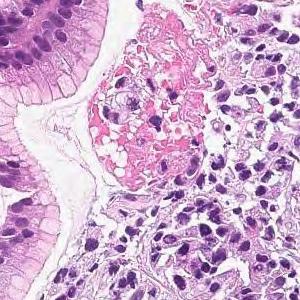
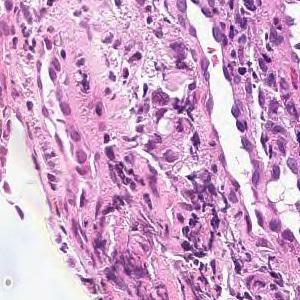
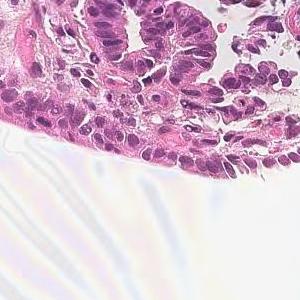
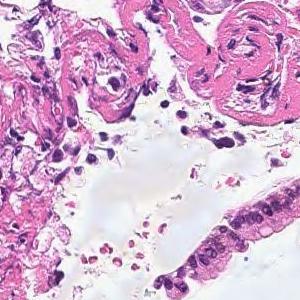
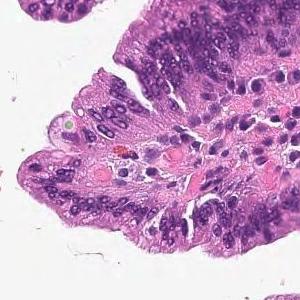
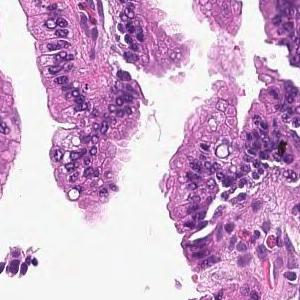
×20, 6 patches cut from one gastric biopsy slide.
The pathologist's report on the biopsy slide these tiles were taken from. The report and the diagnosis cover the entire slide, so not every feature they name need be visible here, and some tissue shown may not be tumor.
Tumor tissue consisting of medium-sized, cord-like or irregular glandular infiltration is observed in the superficial epithelium. Poorly differentiated adenocarcinoma, non-solid type or moderately differentiated tubular adenocarcinoma
Histological subtype: Moderately to poorly differentiated adenocarcinoma.
The non-solid type named here is a Japanese Classification of Gastric Carcinoma category.
